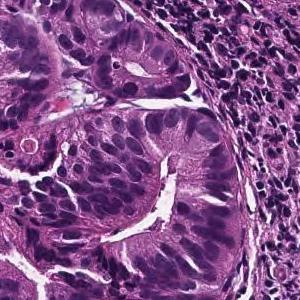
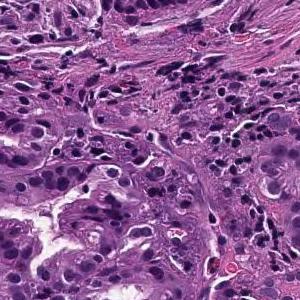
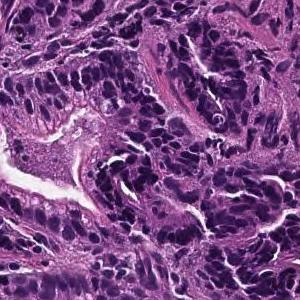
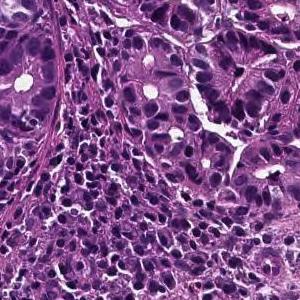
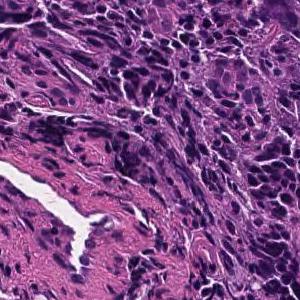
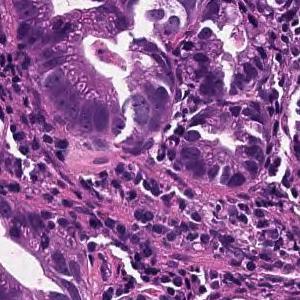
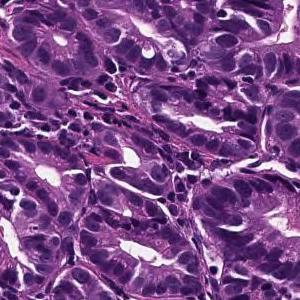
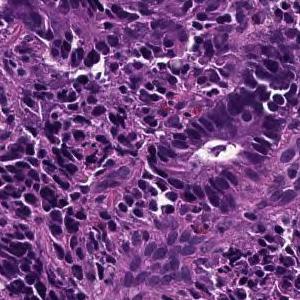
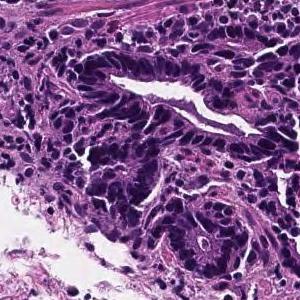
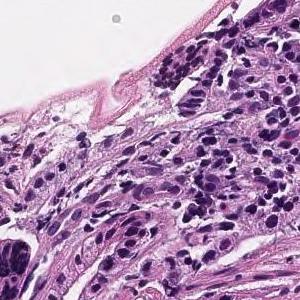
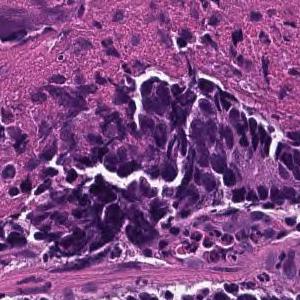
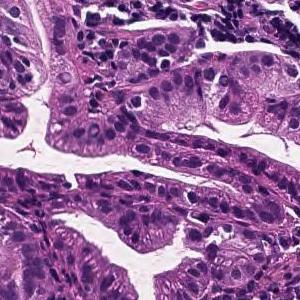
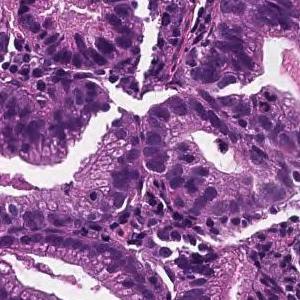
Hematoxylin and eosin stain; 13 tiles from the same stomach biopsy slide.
The pathologist's report on the biopsy slide these tiles were taken from. The report and the diagnosis cover the entire slide, so not every feature they name need be visible here, and some tissue shown may not be tumor.
On the superficial epithelium, tumor tissue consisting of large irregular glandular ducts partially fused and infiltrated is observed. Well to moderately differentiated tubular adenocarcinoma (well differentiated tubular adenocarcinoma, moderately differentiated tubular adenocarcinoma)
Histological subtype: Well to moderately differentiated tubular adenocarcinoma.
